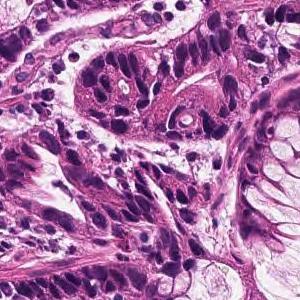
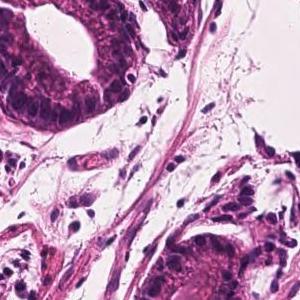
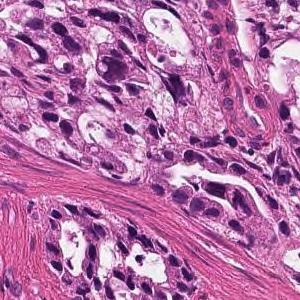
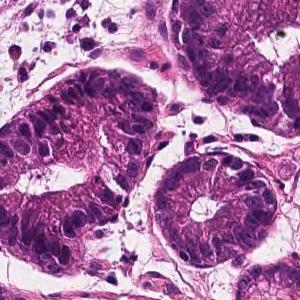
20× magnification; H&E stain; 4 tiles from the same stomach biopsy slide; 300×300 px each.
Report on the slide these tiles come from. The report and the diagnosis cover the entire slide, so not every feature they name need be visible here, and some tissue shown may not be tumor.
In the superficial epithelium, tumor tissue that invades by forming medium-sized to small, irregular ducts is observed. moderately differentiated tubular adenocarcinoma.
